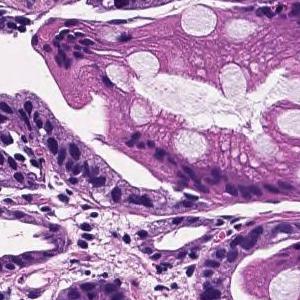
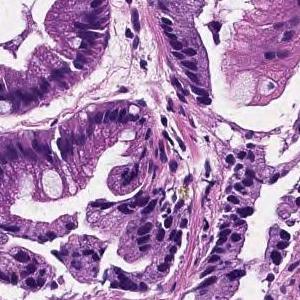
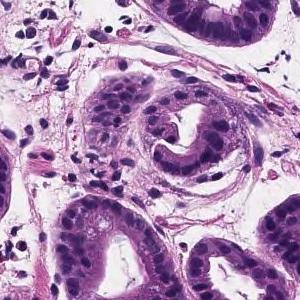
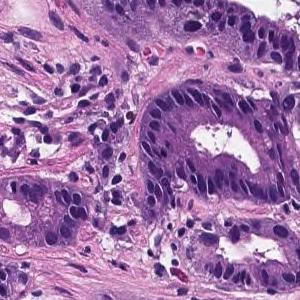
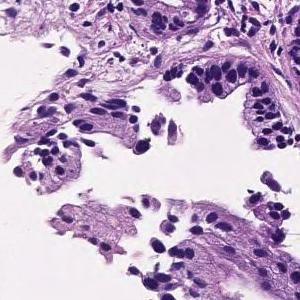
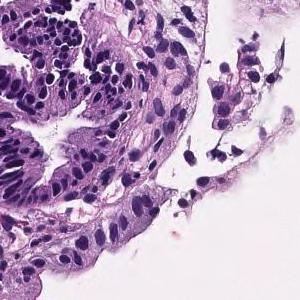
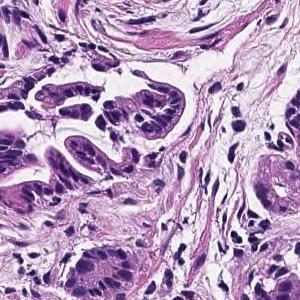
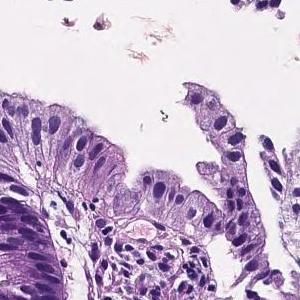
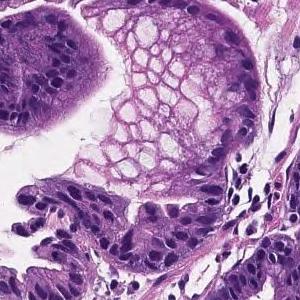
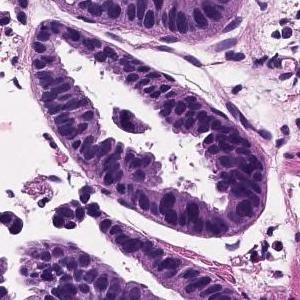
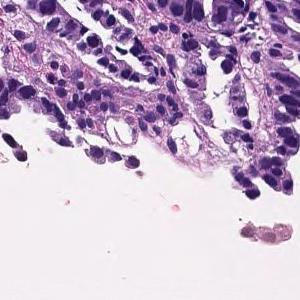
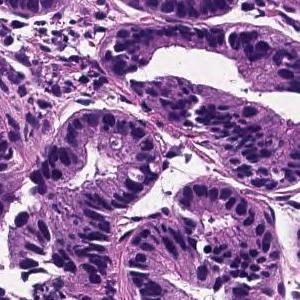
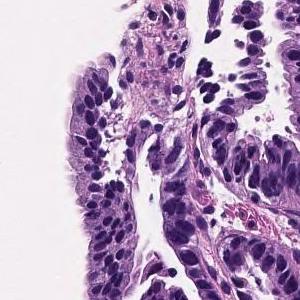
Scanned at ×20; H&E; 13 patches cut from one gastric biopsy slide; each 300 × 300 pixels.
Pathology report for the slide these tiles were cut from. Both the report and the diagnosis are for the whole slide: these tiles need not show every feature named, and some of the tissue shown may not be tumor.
Tumor cells are large, highly columnar, large club-shaped nuclei, and are associated with chromatin aggregation. Papillary adenocarcinoma.
